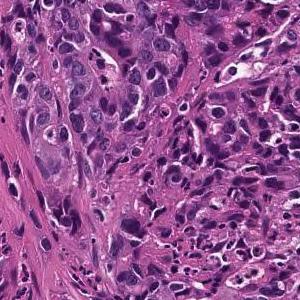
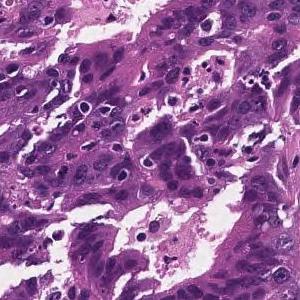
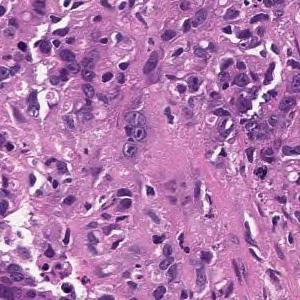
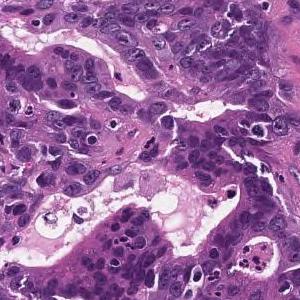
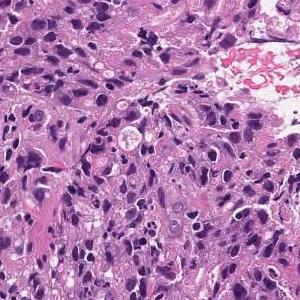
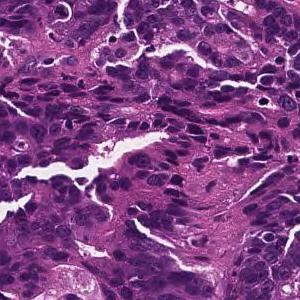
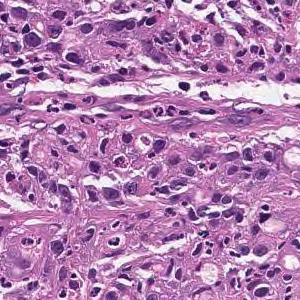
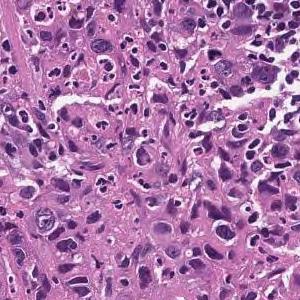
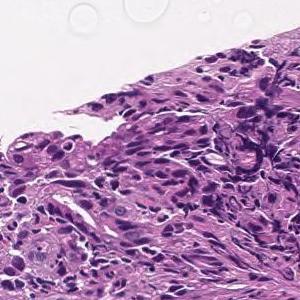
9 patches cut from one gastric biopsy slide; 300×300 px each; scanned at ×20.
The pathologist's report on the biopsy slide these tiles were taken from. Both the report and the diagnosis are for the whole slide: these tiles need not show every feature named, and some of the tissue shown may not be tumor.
In the superficial epithelium, tumor tissue that invades by forming medium-sized to small, irregular ducts is observed. moderately differentiated tubular adenocarcinoma.
